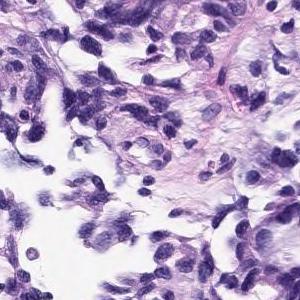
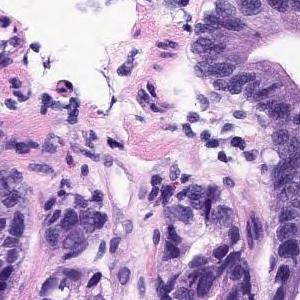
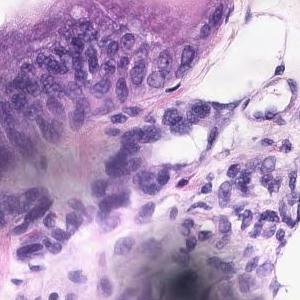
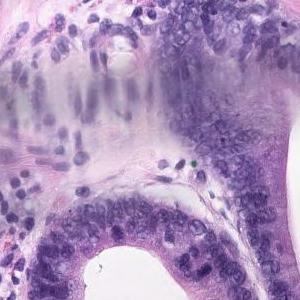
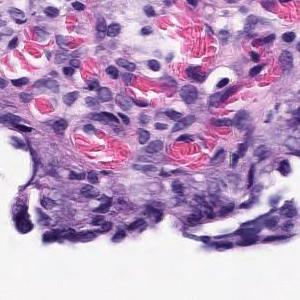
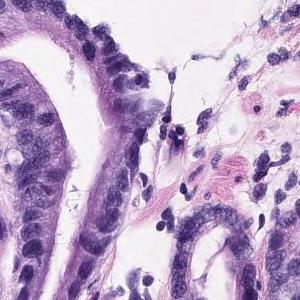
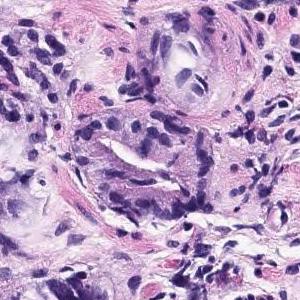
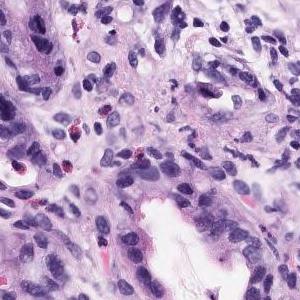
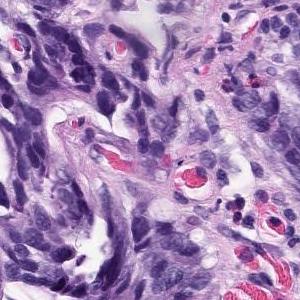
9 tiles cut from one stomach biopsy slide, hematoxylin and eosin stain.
Pathology report for the slide these tiles were cut from. The report and the diagnosis cover the entire slide, so not every feature they name need be visible here, and some tissue shown may not be tumor.
In the superficial epithelium, tumor tissue that invades by forming medium-sized to small, irregular ducts is observed. Moderately differentiated adenocarcinoma
Tumor subtype: moderately differentiated tubular adenocarcinoma.
